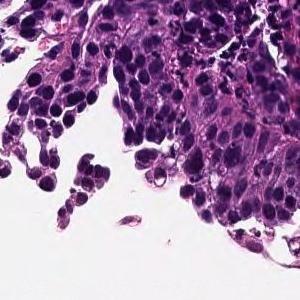
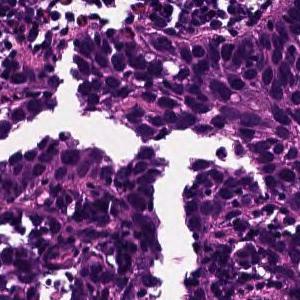
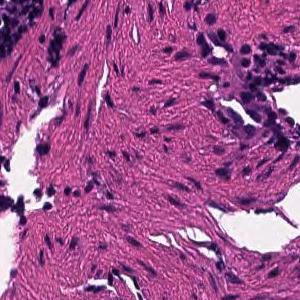
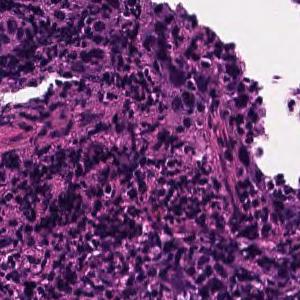
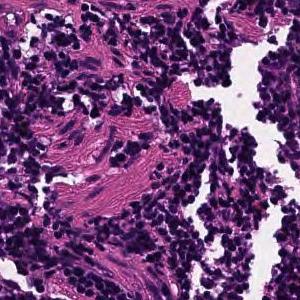
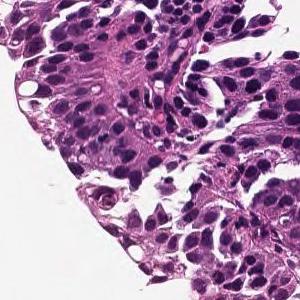
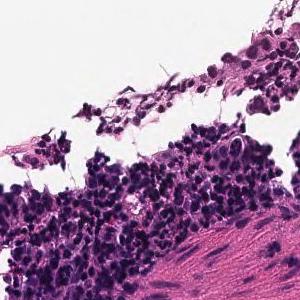
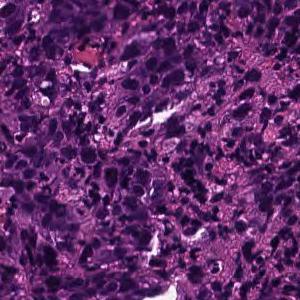
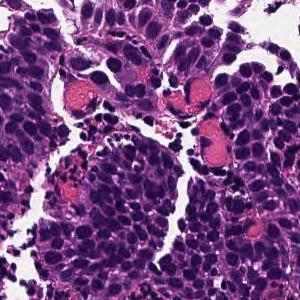
9 image tiles from a single gastric biopsy slide, 300×300 px each, H&E stain.
Pathology report for the slide these tiles were cut from. The report describes the whole slide, diagnosis included: not every finding it names need appear in these tiles, which may also show non-tumor tissue.
Tumor tissue consisting of cord-like or small, irregular glandular ducts fused and infiltrated is observed in the superficial epithelium. Poorly differentiated adenocarcinoma, non-solid type
"Non-solid type" is a category of the Japanese Classification of Gastric Carcinoma.
